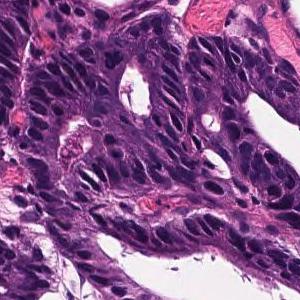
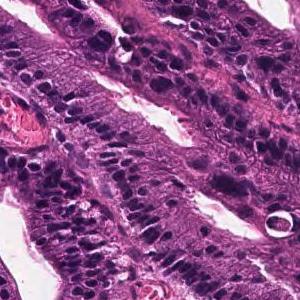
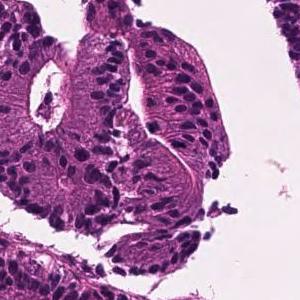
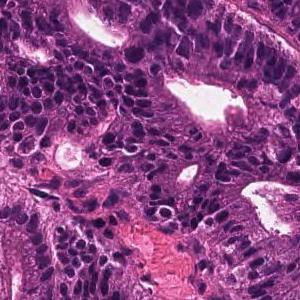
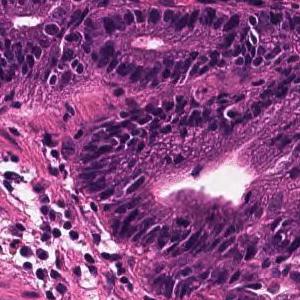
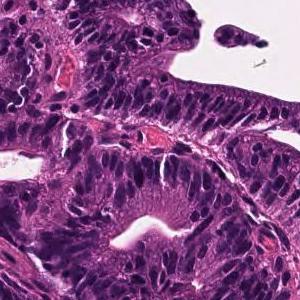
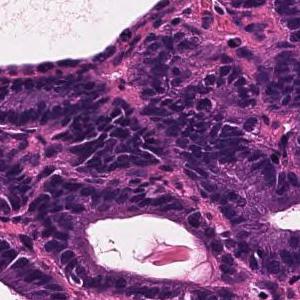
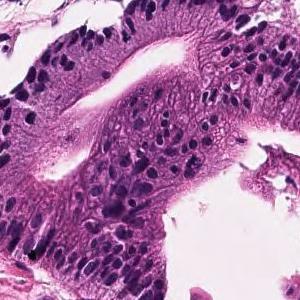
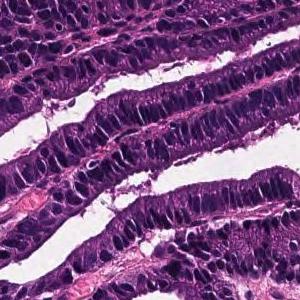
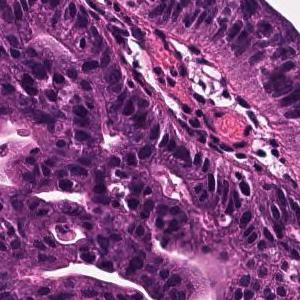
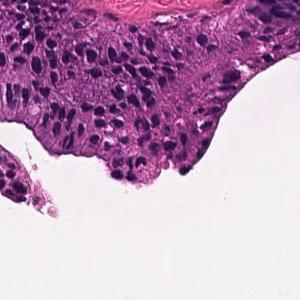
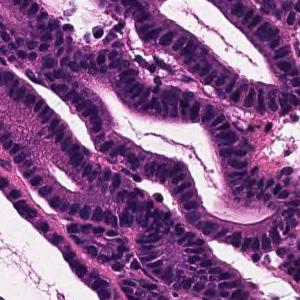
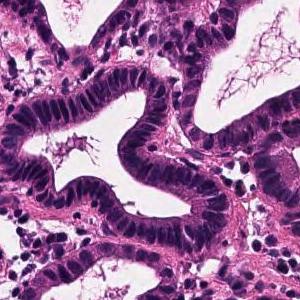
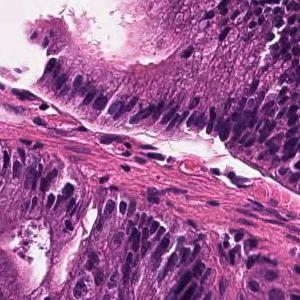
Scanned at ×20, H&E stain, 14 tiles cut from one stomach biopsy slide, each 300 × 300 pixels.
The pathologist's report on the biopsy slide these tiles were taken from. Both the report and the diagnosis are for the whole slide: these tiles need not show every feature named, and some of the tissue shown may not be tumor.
Tumor tissue that remains within the superficial epithelium and is infiltrated by large papillary or irregular ducts that fuse with each other is observed. Well differentiated tubular adenocarcinoma
